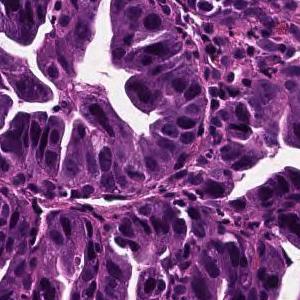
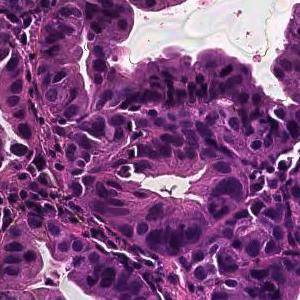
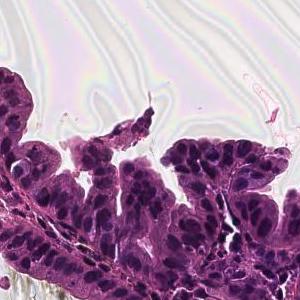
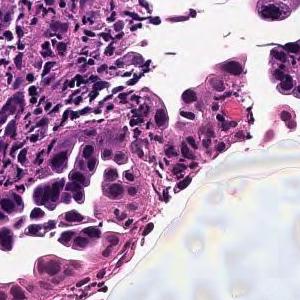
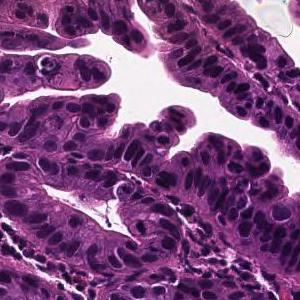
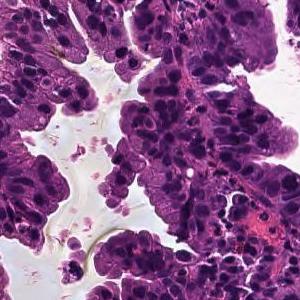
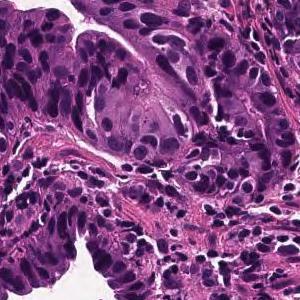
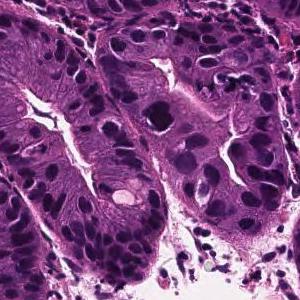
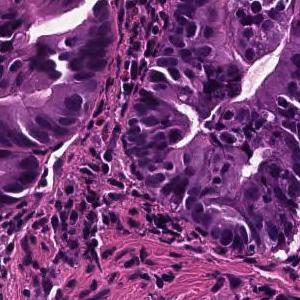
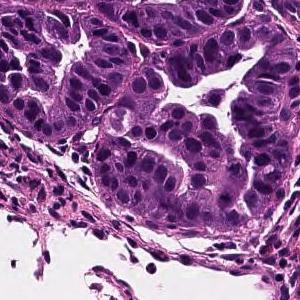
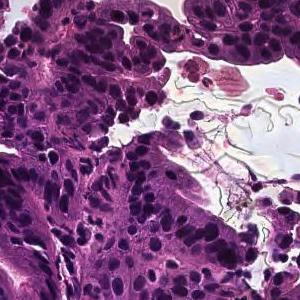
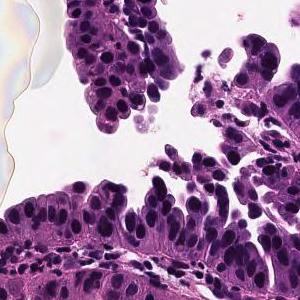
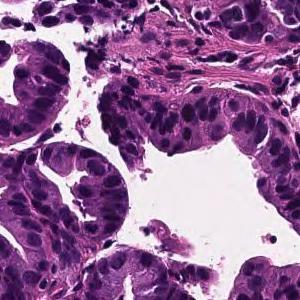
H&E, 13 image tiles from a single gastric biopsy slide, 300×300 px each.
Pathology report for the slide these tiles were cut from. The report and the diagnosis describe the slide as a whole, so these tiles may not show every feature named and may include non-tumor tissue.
Tumor cells are large, highly columnar, large club-shaped nuclei, and are associated with chromatin aggregation. Papillary adenocarcinoma.
